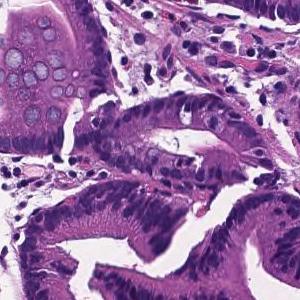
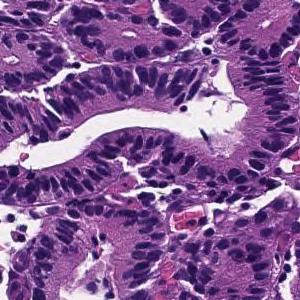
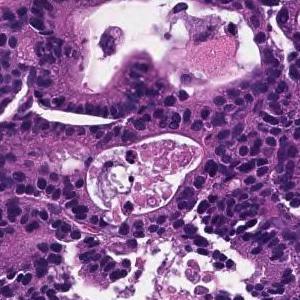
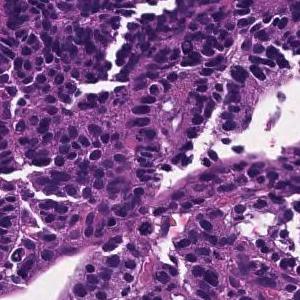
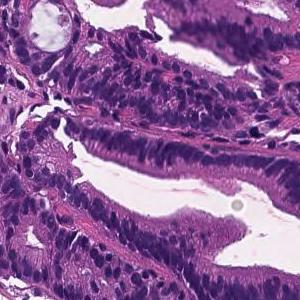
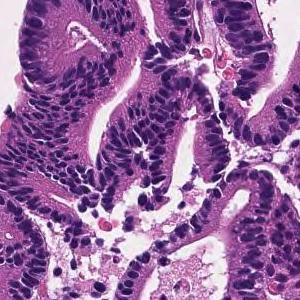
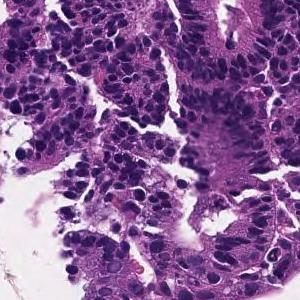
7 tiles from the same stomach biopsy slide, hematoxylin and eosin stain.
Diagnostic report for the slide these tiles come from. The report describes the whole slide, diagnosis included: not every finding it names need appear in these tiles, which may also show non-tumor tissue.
From the superficial epithelium to the muscularis mucosae, tumor tissue consisting of medium-sized and irregular glandular ducts infiltrating is observed. Well differentiated tubular adenocarcinoma
